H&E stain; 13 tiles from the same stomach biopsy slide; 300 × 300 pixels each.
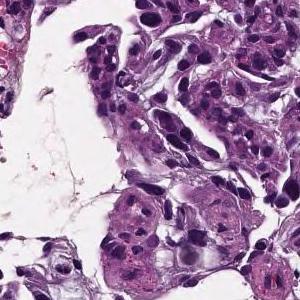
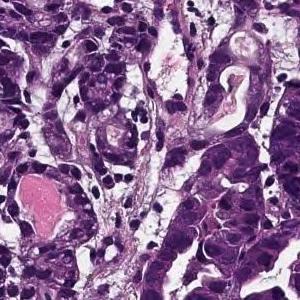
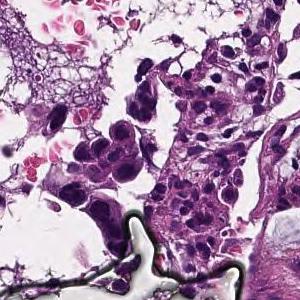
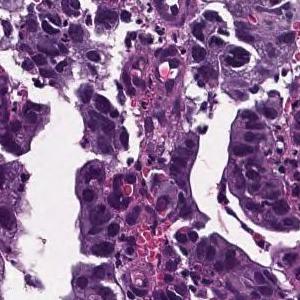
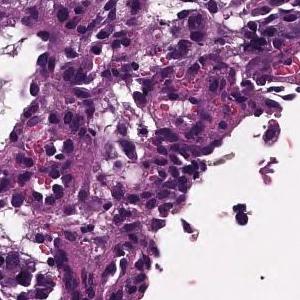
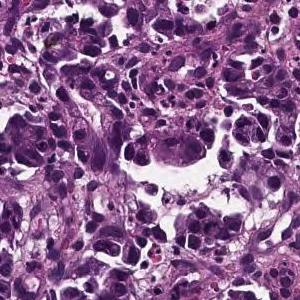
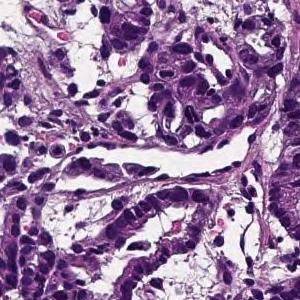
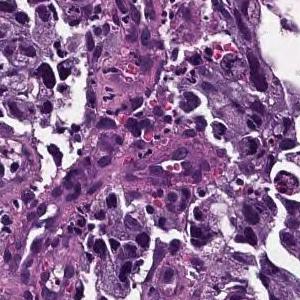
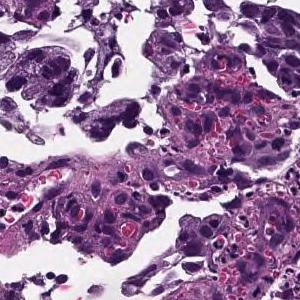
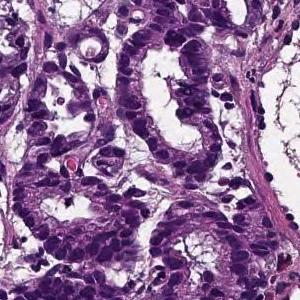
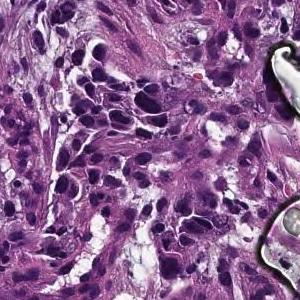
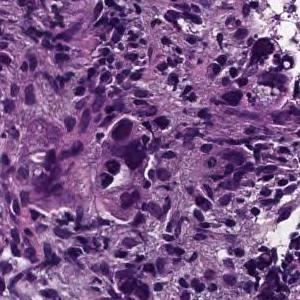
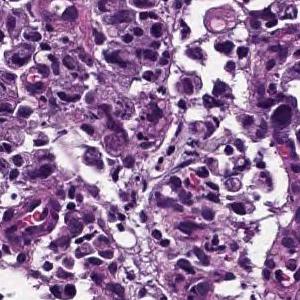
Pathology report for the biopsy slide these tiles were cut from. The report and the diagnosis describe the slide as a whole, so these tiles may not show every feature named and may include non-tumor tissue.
Medium to small, irregular glandular ducts are formed in the superficial epithelium, and in some cases, the glandular ducts are fused to show solid alveolar lesions and infiltrating tumor tissue is observed. Moderately to poorly differentiated adenocarcinoma.
